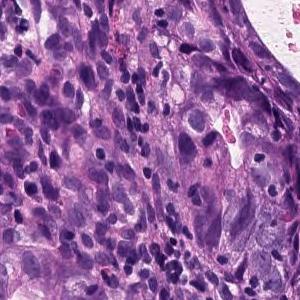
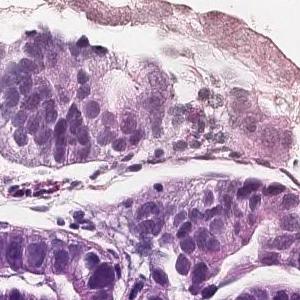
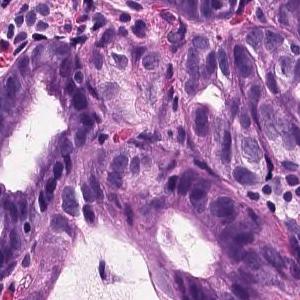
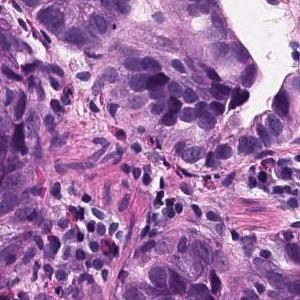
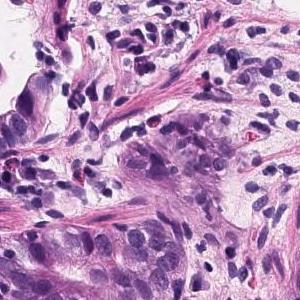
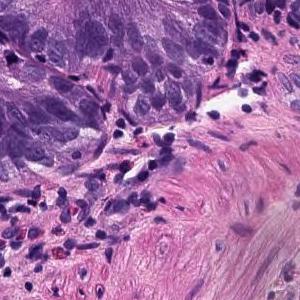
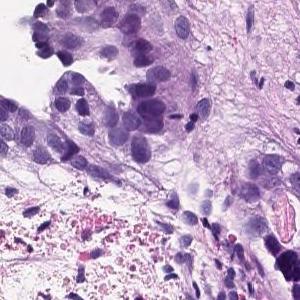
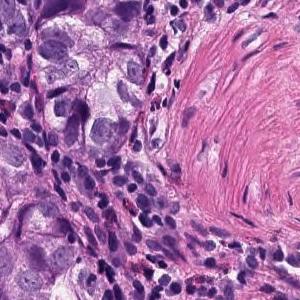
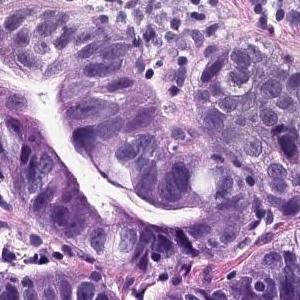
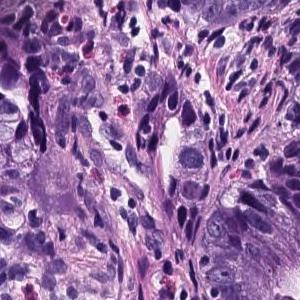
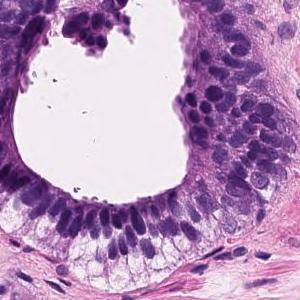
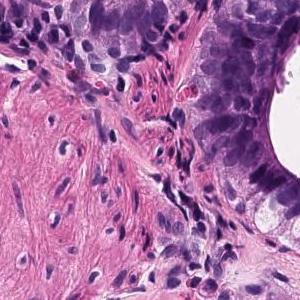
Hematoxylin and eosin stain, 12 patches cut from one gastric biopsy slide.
Report on the slide these tiles come from. The report and the diagnosis cover the entire slide, so not every feature they name need be visible here, and some tissue shown may not be tumor.
Atypical epithelial cells infiltrating and proliferating while forming a glandular cavity is observed. moderately differentiated tubular adenocarcinoma
